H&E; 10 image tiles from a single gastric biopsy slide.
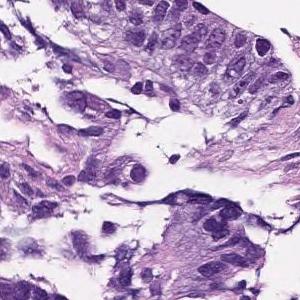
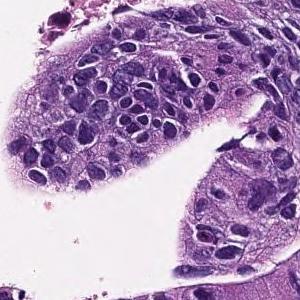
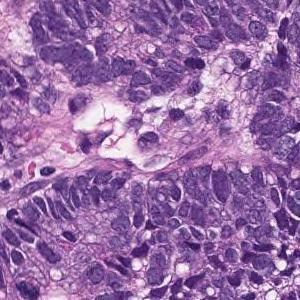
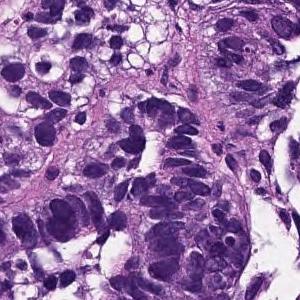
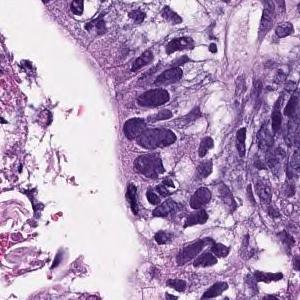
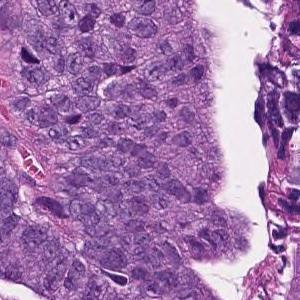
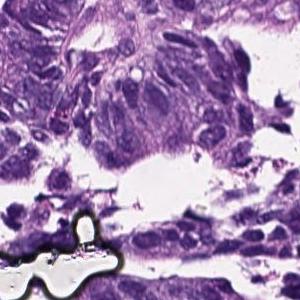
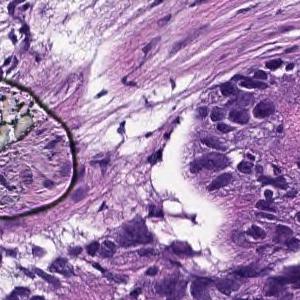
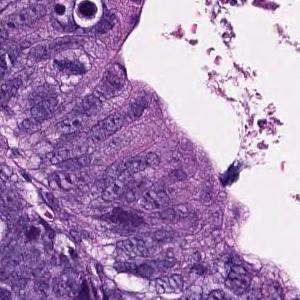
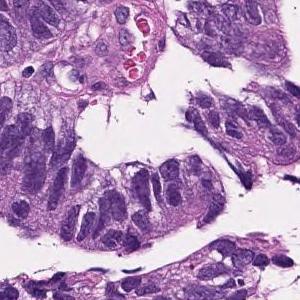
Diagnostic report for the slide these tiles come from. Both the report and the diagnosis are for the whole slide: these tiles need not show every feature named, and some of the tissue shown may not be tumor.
In the superficial epithelium, tumor tissue that invades by forming medium-sized to small, irregular ducts is observed. moderately differentiated tubular adenocarcinoma.
